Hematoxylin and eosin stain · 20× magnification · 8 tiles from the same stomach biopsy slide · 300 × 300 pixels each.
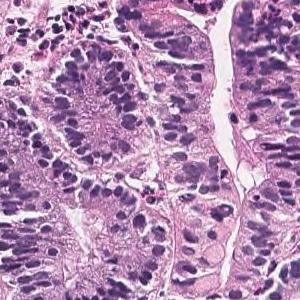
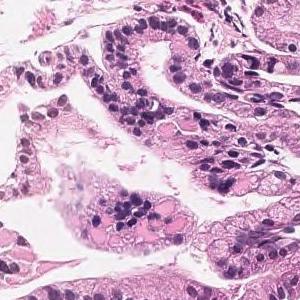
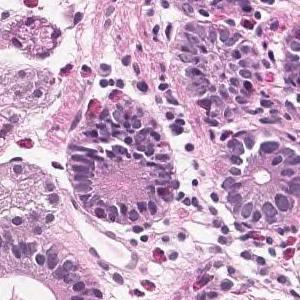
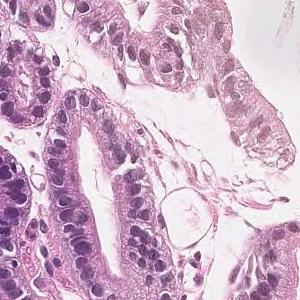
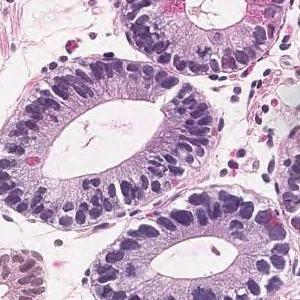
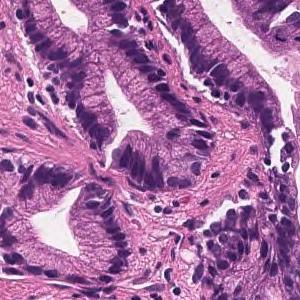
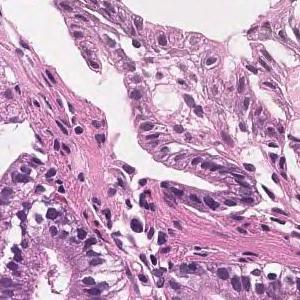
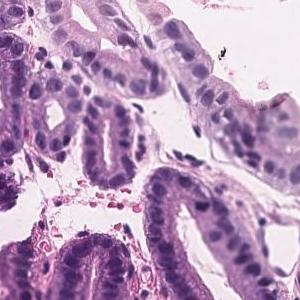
Pathology report for the biopsy slide these tiles were cut from. Both the report and the diagnosis are for the whole slide: these tiles need not show every feature named, and some of the tissue shown may not be tumor.
Tumor tissue in which medium to small irregular ducts infiltrate and proliferate in the submucosa can be seen in the epithelium. Well differentiated tubular adenocarcinoma
